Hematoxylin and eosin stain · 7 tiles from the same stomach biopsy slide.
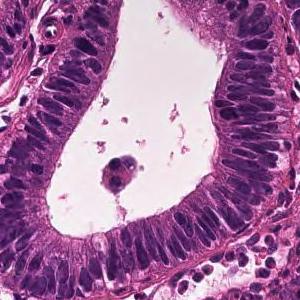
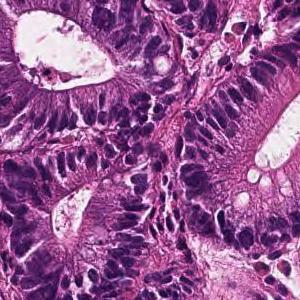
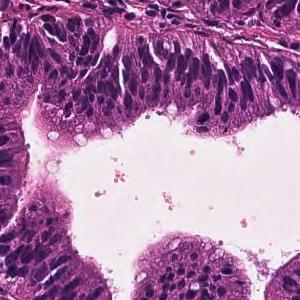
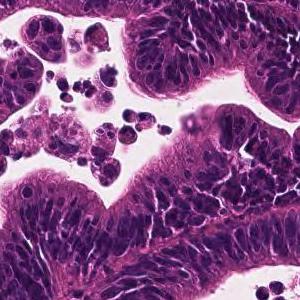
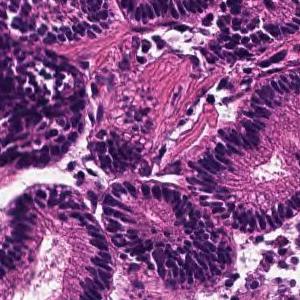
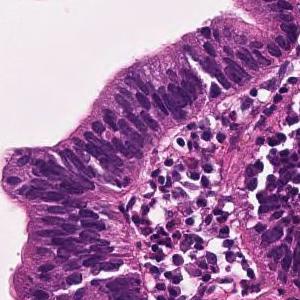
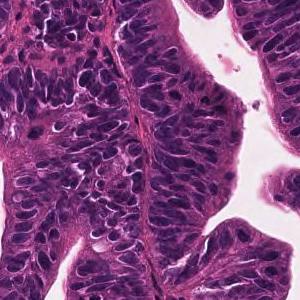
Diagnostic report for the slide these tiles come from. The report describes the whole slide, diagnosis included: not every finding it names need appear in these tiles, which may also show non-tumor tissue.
A large irregular tubular structure is exhibited in the epithelium, and tumor tissue that partially fuses and infiltrates and proliferates is observed. Large columnar tumor cells exhibit enlarged nucleus, hyperchromatism, and mitotic figures. Well differentiated tubular adenocarcinoma
